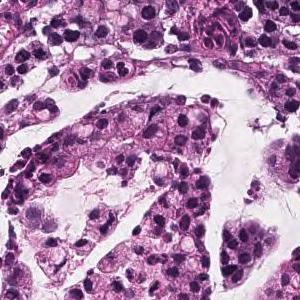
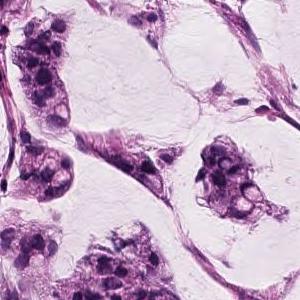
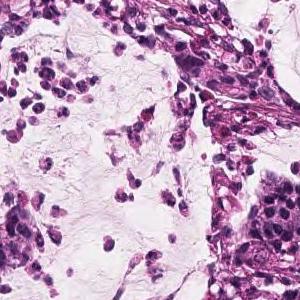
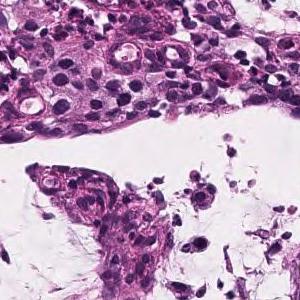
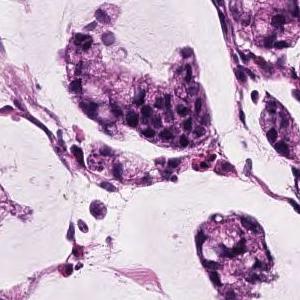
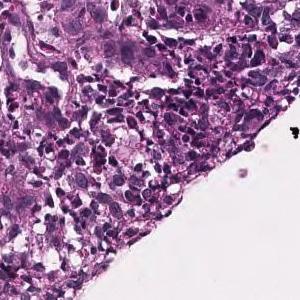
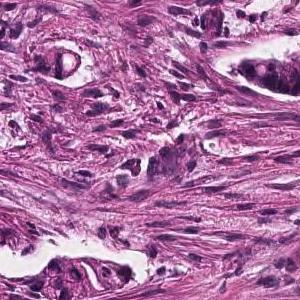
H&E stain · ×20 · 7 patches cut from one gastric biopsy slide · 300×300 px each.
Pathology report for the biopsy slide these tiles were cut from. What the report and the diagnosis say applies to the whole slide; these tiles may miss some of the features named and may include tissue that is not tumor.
Atypical epithelial cells form obscure ductal structures or small solid follicles, and tumor tissue that proliferates invasively with proliferation of inflammatory granulation tissue is observed. Mucinous adenocarcinoma .
